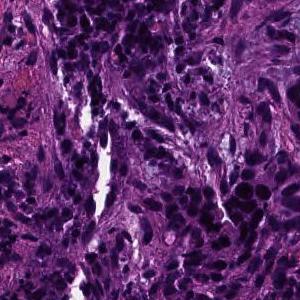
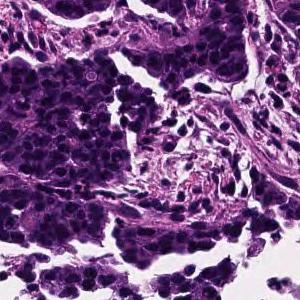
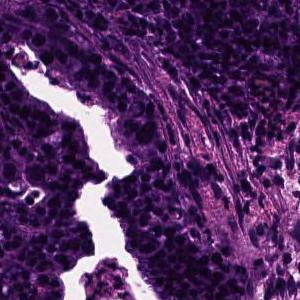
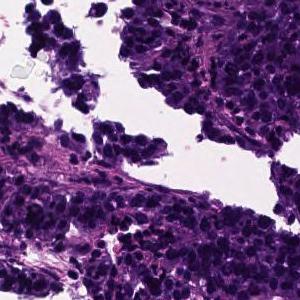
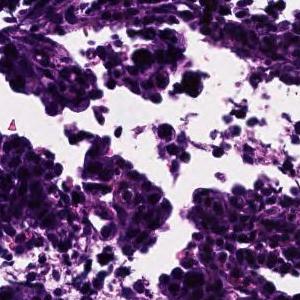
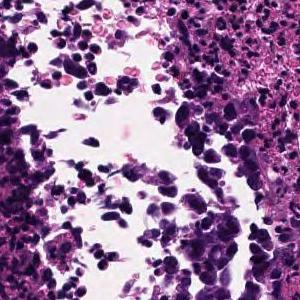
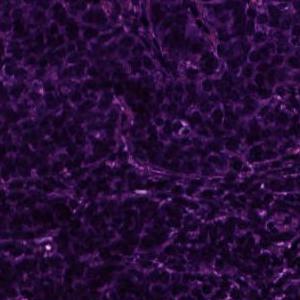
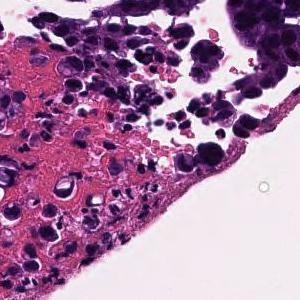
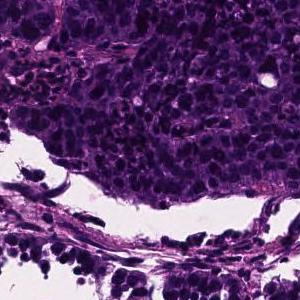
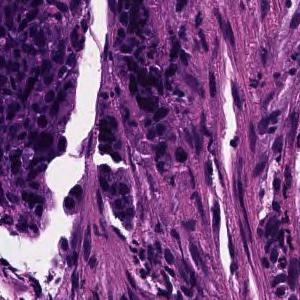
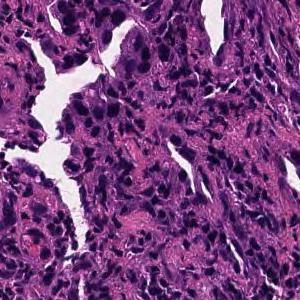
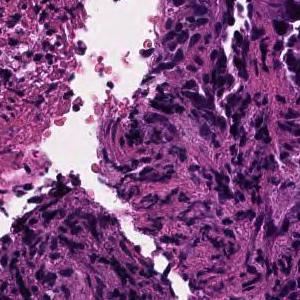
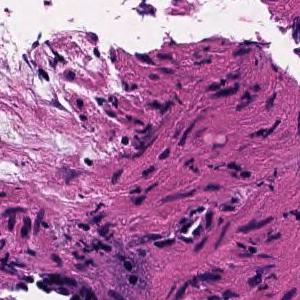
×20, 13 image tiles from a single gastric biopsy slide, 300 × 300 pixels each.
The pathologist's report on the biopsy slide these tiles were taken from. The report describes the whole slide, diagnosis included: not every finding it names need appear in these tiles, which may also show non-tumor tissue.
In the superficial epithelium, tumor tissue that invades by forming medium-sized to small, irregular ducts is observed. moderately differentiated tubular adenocarcinoma.
